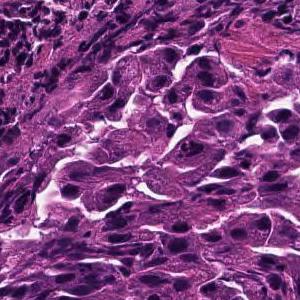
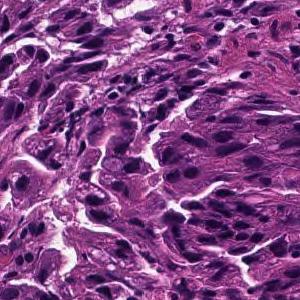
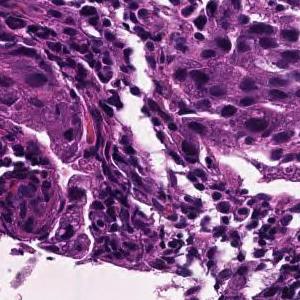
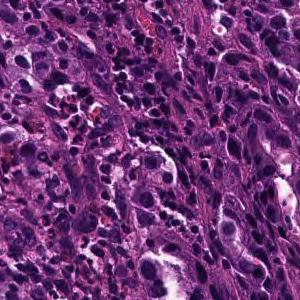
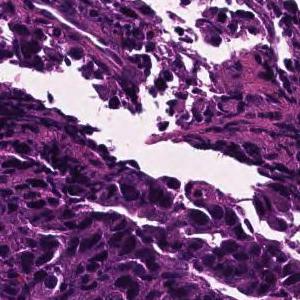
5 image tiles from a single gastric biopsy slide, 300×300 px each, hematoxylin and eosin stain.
Pathology report for the biopsy slide these tiles were cut from. The findings and the diagnosis refer to the entire slide; these tiles show only part of it, possibly with non-tumor tissue, and may not show every feature named.
Tumor tissue consisting of medium-sized, cord-like or irregular glandular fusion and infiltration is observed in the superficial epithelium. Poorly differentiated adenocarcinoma, non-solid type or moderately differentiated tubular adenocarcinoma
Subtype: Moderately to poorly differentiated adenocarcinoma.
The non-solid type named here is a Japanese Classification of Gastric Carcinoma category.
